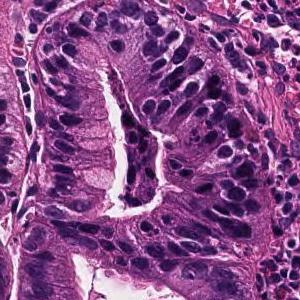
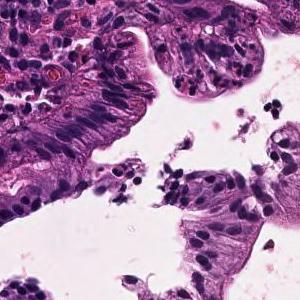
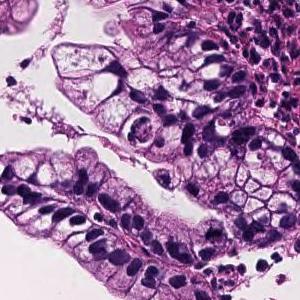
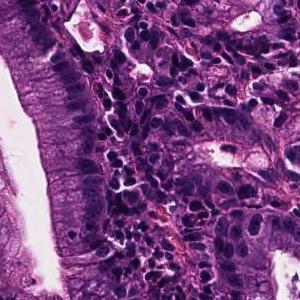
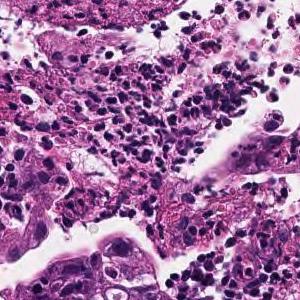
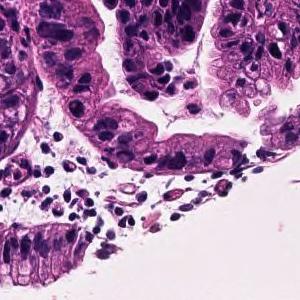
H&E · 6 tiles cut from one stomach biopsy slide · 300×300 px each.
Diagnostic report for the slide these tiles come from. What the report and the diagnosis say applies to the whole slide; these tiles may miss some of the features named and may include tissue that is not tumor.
Tumor cells are large, highly columnar, large club-shaped nuclei, and are associated with chromatin aggregation. Papillary adenocarcinoma.
